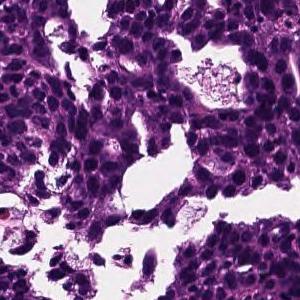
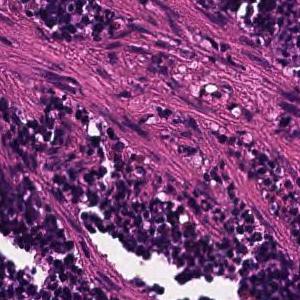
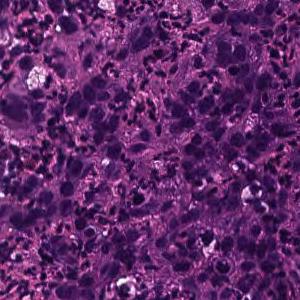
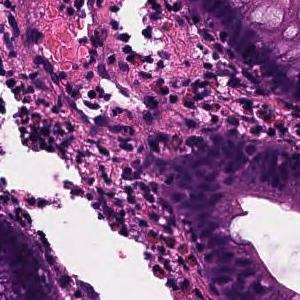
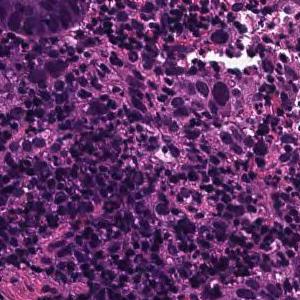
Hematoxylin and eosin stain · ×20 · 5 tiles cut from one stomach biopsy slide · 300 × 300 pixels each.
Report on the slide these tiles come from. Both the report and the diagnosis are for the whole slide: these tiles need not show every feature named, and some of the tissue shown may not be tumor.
Tumor tissue consisting of cord-like or small, irregular glandular ducts fused and infiltrated is observed in the superficial epithelium. Poorly differentiated adenocarcinoma, non-solid type
"Non-solid type" is a category of the Japanese Classification of Gastric Carcinoma.
